13 patches cut from one gastric biopsy slide · 300×300 px each · H&E stain · ×20.
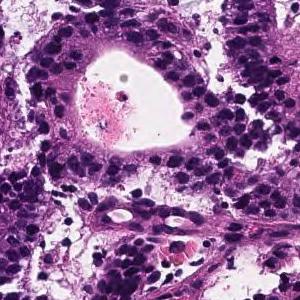
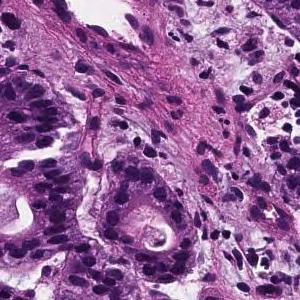
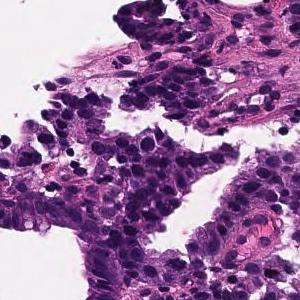
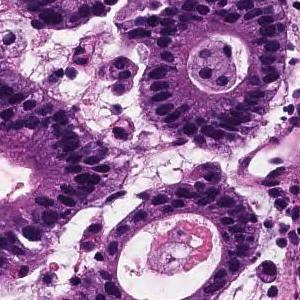
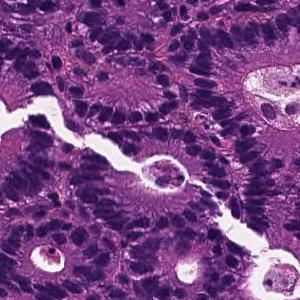
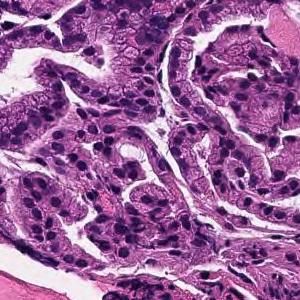
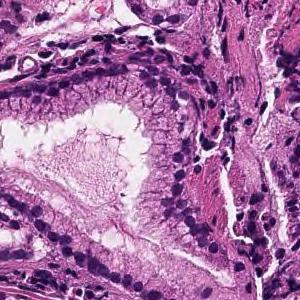
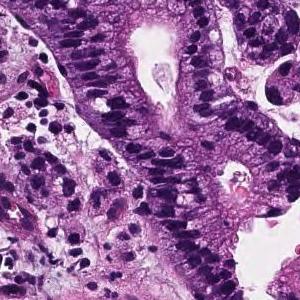
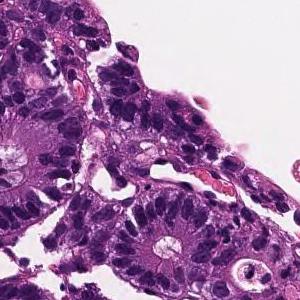
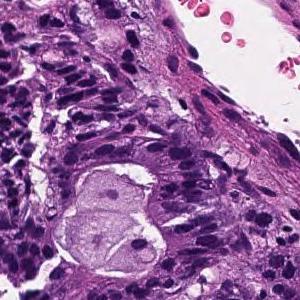
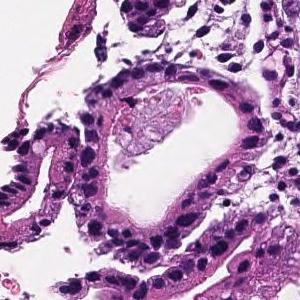
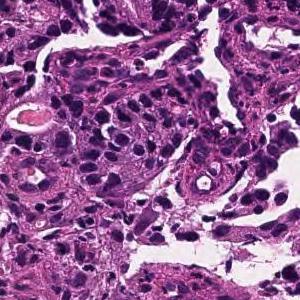
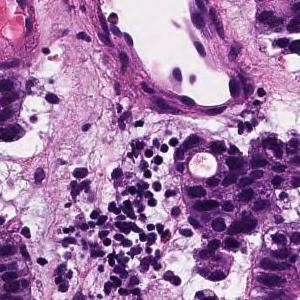
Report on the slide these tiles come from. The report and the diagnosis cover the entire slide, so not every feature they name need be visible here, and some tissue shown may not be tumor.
From the superficial epithelium to the muscularis mucosae, tumor tissue consisting of medium-sized and irregular glandular ducts infiltrating is observed. Well differentiated tubular adenocarcinoma
